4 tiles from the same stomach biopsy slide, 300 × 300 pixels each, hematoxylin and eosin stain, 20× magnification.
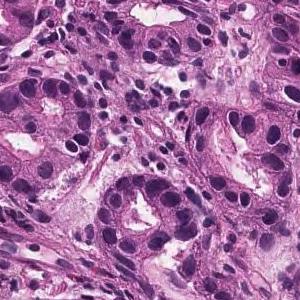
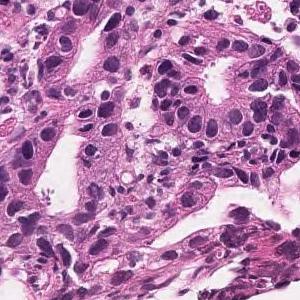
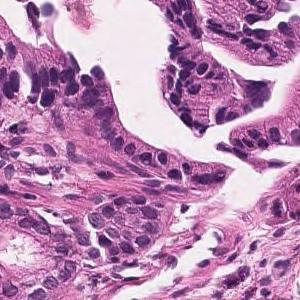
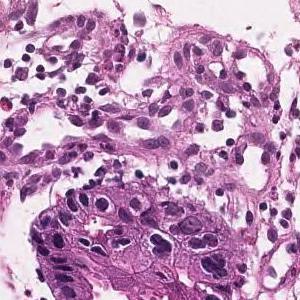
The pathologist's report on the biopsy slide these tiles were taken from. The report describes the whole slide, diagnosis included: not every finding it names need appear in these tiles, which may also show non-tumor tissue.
Tumor tissue consisting of medium-sized and irregular ducts is observed infiltrating in the superficial epithelium. Tumor cells are highly columnar, with nuclei aligned basolaterally and polarized. Well differentiated tubular adenocarcinoma.
